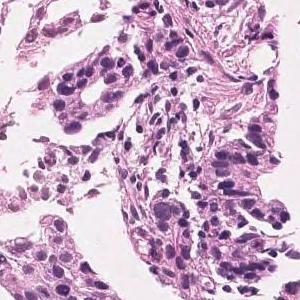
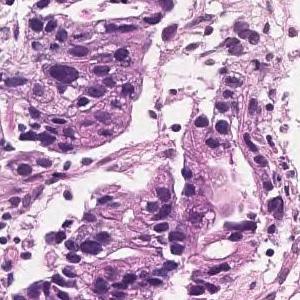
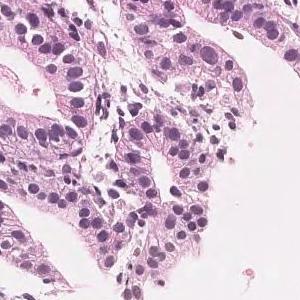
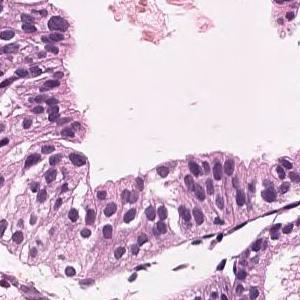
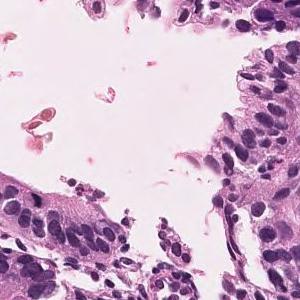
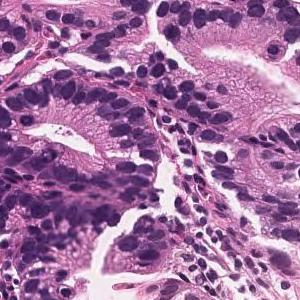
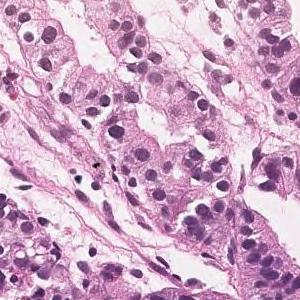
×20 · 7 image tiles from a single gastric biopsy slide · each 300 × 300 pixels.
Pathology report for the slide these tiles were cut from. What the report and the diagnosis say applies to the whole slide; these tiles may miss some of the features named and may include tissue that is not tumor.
In the superficial epithelium, tumor tissue that invades by forming medium-sized to small, irregular ducts is observed. moderately differentiated tubular adenocarcinoma.
